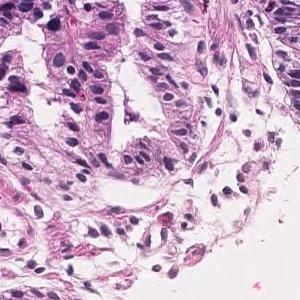
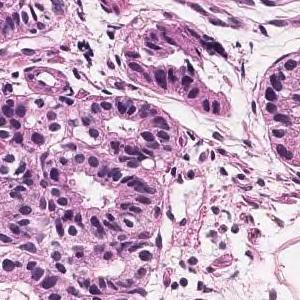
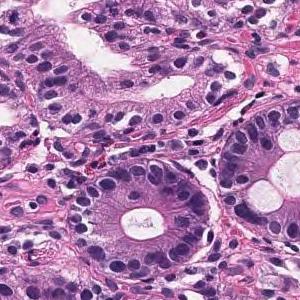
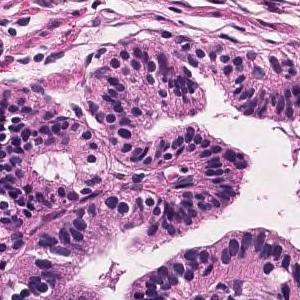
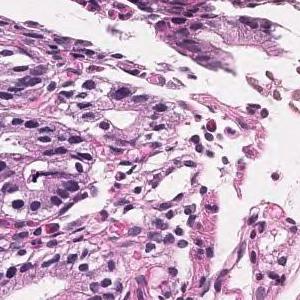
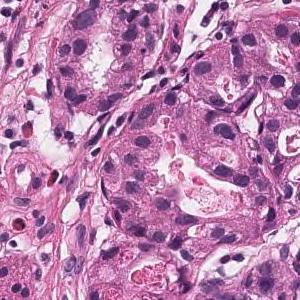
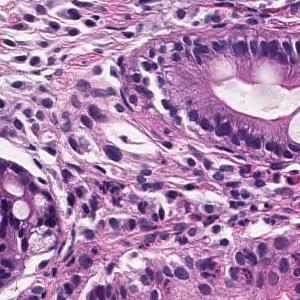
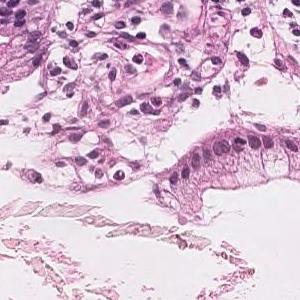
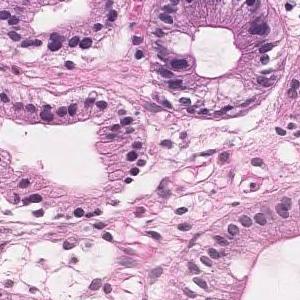
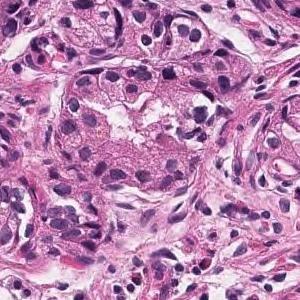
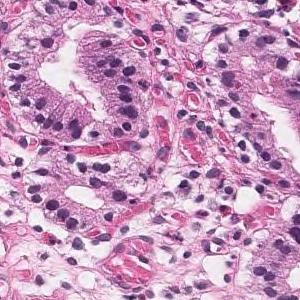
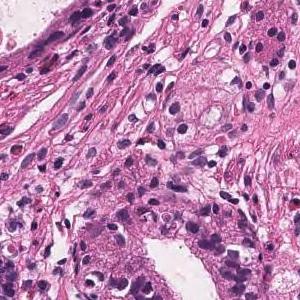
H&E; ×20; 12 tiles cut from one stomach biopsy slide; 300×300 px each.
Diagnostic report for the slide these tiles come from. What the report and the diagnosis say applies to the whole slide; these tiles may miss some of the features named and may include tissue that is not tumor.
On the superficial epithelium, tumor tissue consisting of large, irregular glandular ducts partially fused and infiltrated is observed. Well differentiated tubular adenocarcinoma
